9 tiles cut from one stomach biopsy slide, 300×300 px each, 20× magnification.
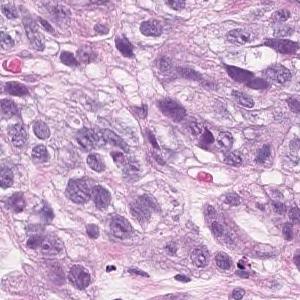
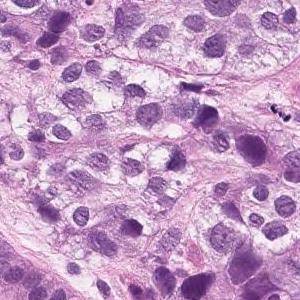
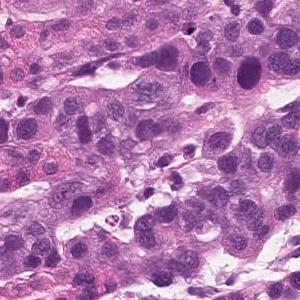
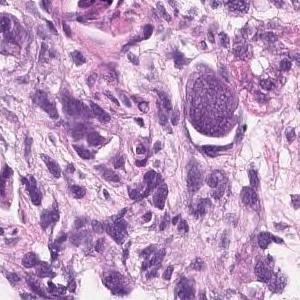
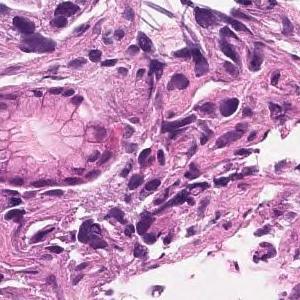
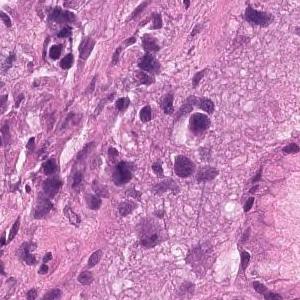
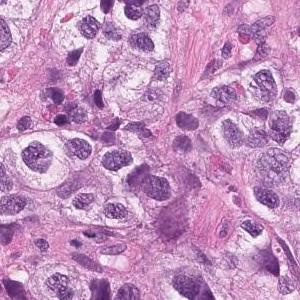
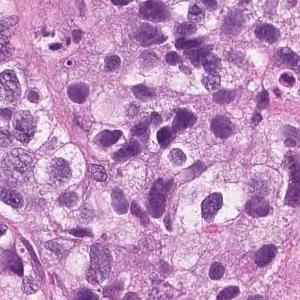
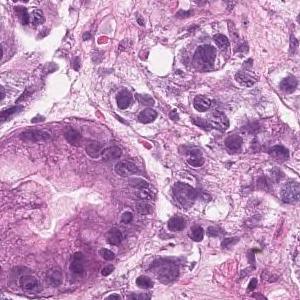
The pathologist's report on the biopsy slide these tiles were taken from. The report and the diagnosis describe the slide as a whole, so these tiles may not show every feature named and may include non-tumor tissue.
Tumor tissue that infiltrates the epithelium in an alveolar manner. Poorly differentiated adenocarcinoma, solid-type
Histological subtype: Poorly differentiated adenocarcinoma, solid type, a category of the Japanese Classification of Gastric Carcinoma; in the WHO 2019 classification it is tubular adenocarcinoma, poorly differentiated.
